Scanned at ×20 · 10 image tiles from a single gastric biopsy slide · each 300 × 300 pixels.
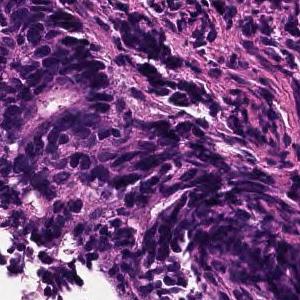
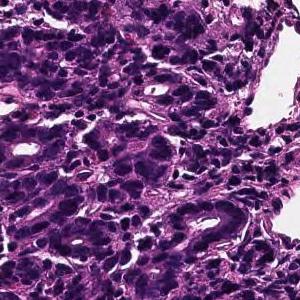
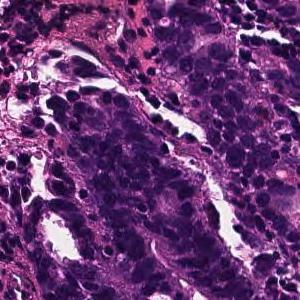
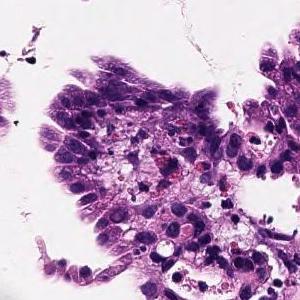
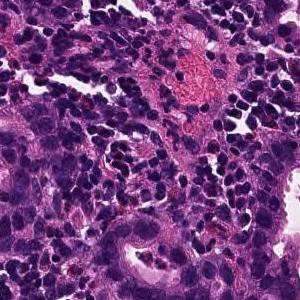
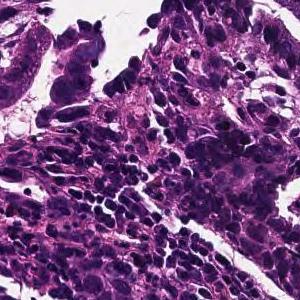
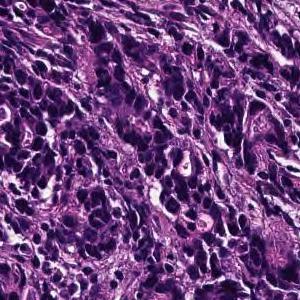
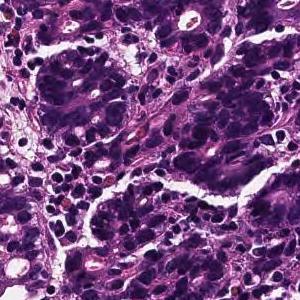
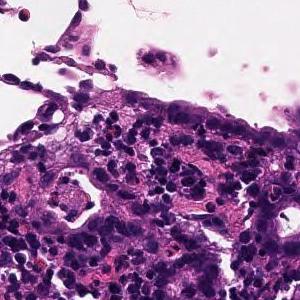
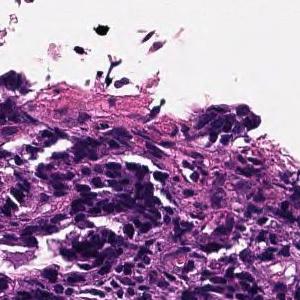
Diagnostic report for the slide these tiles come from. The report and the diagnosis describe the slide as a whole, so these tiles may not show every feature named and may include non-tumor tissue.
On the superficial epithelium, tumor tissue is found in which medium-sized irregular gland ducts fuse with each other and infiltrate. moderately differentiated tubular adenocarcinoma or Poorly differentiated adenocarcinoma, non-solid type
Histologic type: Moderately to poorly differentiated adenocarcinoma.
"Non-solid type" is a category of the Japanese Classification of Gastric Carcinoma.
